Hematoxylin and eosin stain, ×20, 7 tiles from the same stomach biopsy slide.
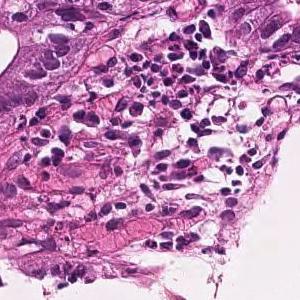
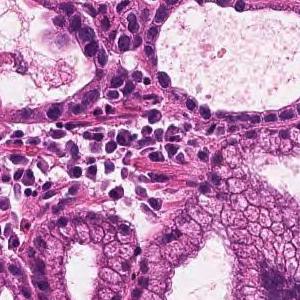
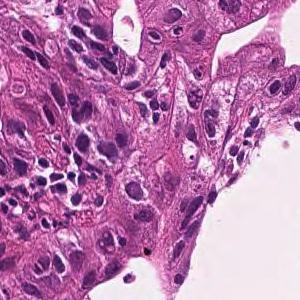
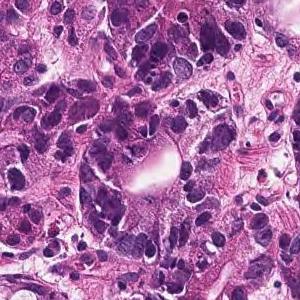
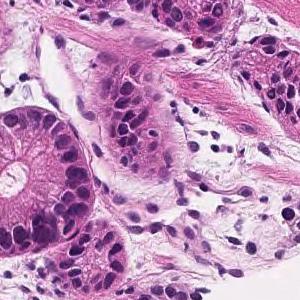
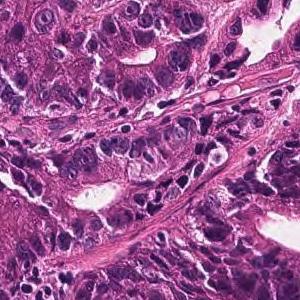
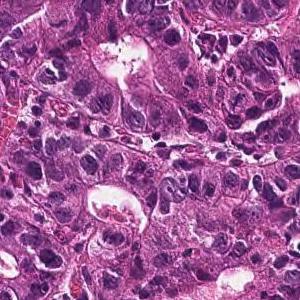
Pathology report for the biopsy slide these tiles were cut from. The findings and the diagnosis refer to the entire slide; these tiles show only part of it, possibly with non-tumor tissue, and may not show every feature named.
In the superficial epithelium, tumor tissue that invades by forming medium-sized to small, irregular ducts is observed. moderately differentiated tubular adenocarcinoma.
